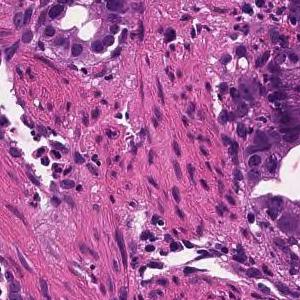
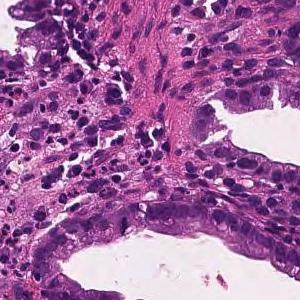
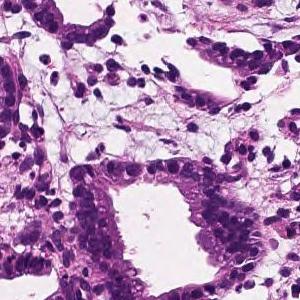
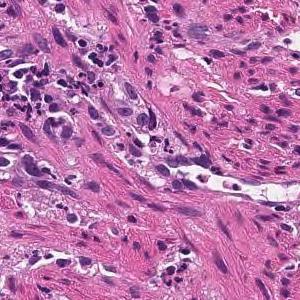
4 tiles from the same stomach biopsy slide, ×20, H&E.
Report on the slide these tiles come from. The report and the diagnosis cover the entire slide, so not every feature they name need be visible here, and some tissue shown may not be tumor.
On the superficial epithelium, tumor tissue that infiltrates by forming medium-sized papillary or small irregular ducts is observed. Papillary adenocarcinoma
